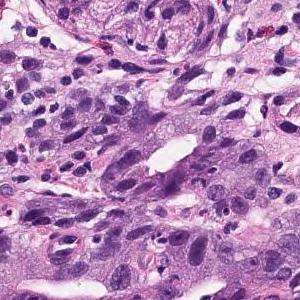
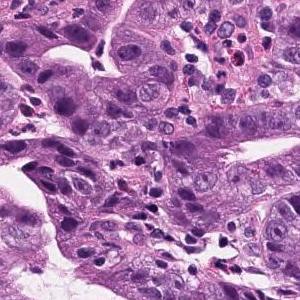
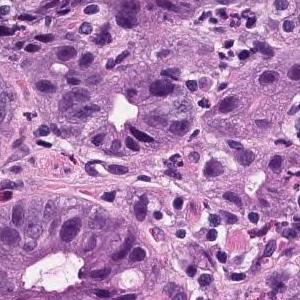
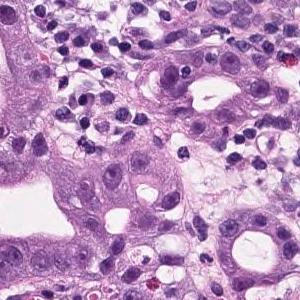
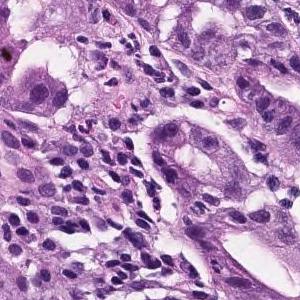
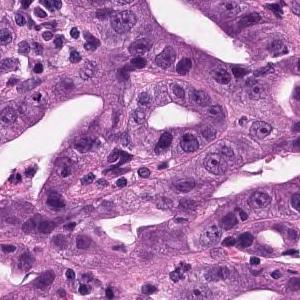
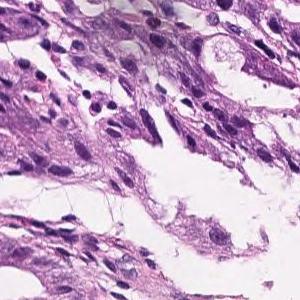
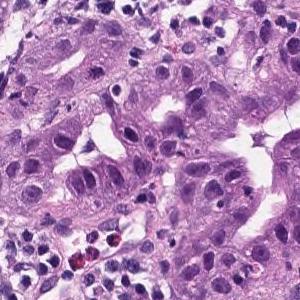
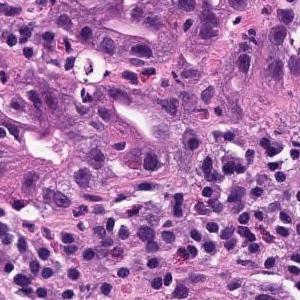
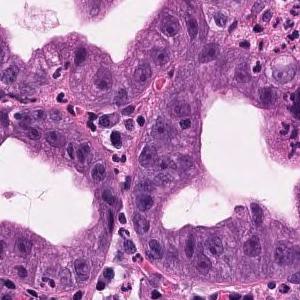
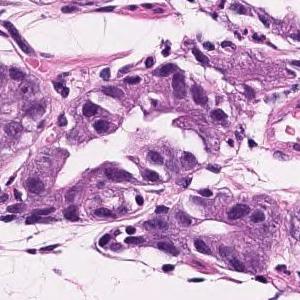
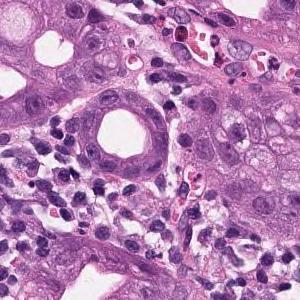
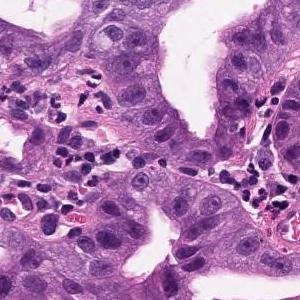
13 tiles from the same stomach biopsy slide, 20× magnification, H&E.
Report on the slide these tiles come from. The report and the diagnosis cover the entire slide, so not every feature they name need be visible here, and some tissue shown may not be tumor.
In the superficial epithelium, tumor tissue that invades by forming medium-sized to small, irregular ducts is observed. Well to moderately differentiated adenocarcinoma (well differentiated tubular adenocarcinoma, moderately differentiated tubular adenocarcinoma).
Subtype: Well to moderately differentiated tubular adenocarcinoma.
